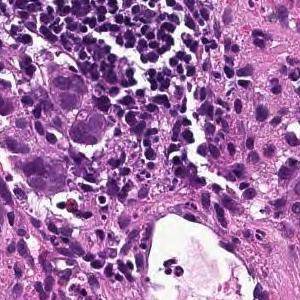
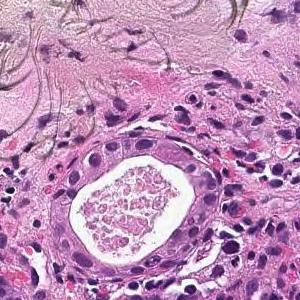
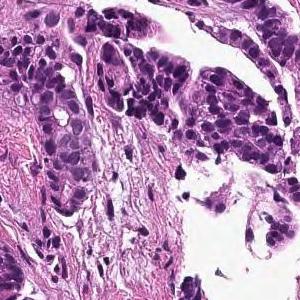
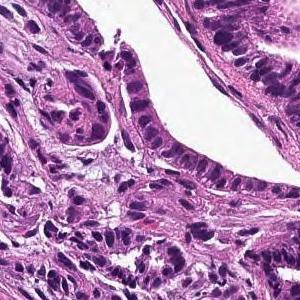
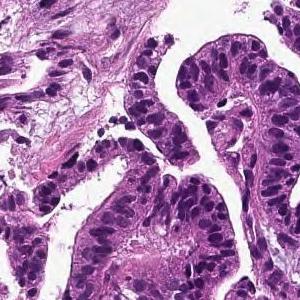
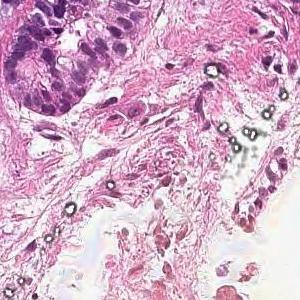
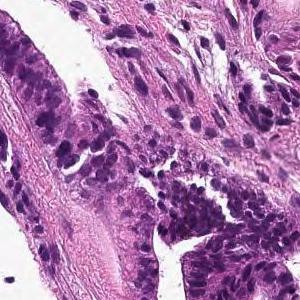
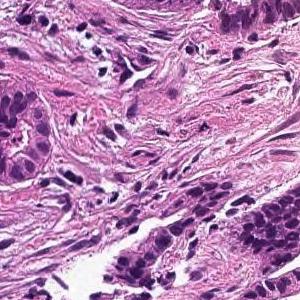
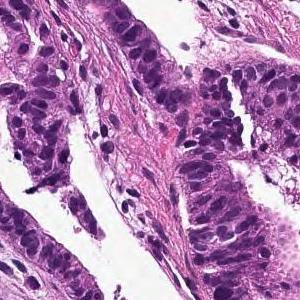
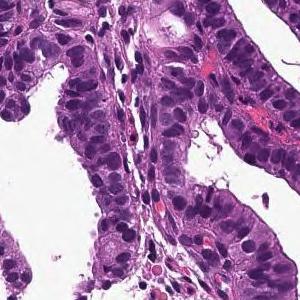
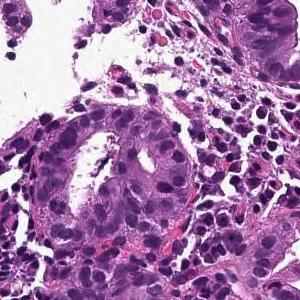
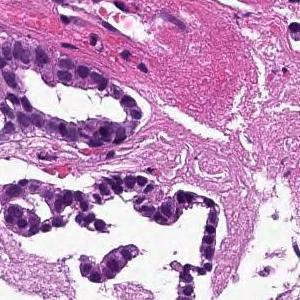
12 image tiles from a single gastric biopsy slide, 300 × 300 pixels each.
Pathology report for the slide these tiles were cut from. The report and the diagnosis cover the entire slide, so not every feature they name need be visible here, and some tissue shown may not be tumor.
Tumor cells are large, highly columnar, large club-shaped nuclei, and are associated with chromatin aggregation. Papillary adenocarcinoma.
